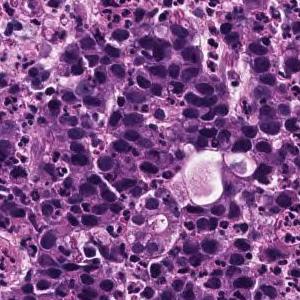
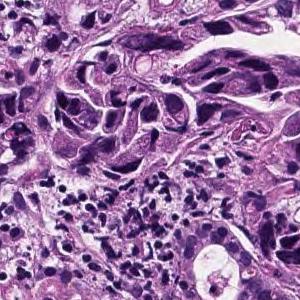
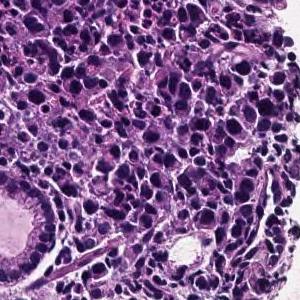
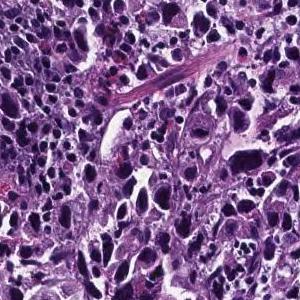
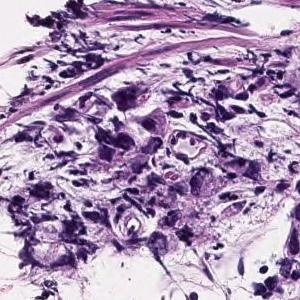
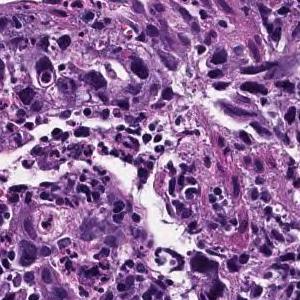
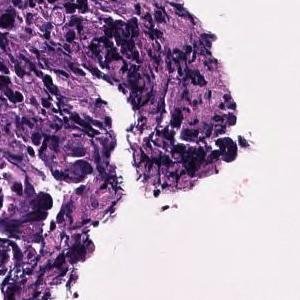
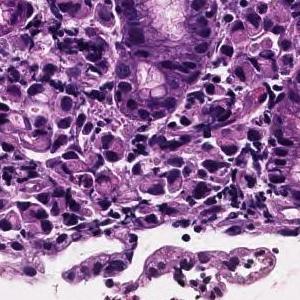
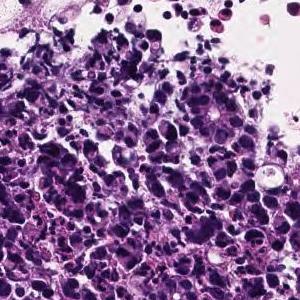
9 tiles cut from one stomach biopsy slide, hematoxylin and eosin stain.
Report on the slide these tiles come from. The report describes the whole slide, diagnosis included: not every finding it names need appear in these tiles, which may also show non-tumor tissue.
The superficial epithelium shows a large sheet-like shape, and some tumor tissue infiltrates with small irregular ducts. Poorly differentiated adenocarcinoma, solid-type
Tumor subtype: poorly differentiated adenocarcinoma, solid type. This name comes from the Japanese Classification of Gastric Carcinoma; the WHO 2019 classification calls it tubular adenocarcinoma, poorly differentiated.
